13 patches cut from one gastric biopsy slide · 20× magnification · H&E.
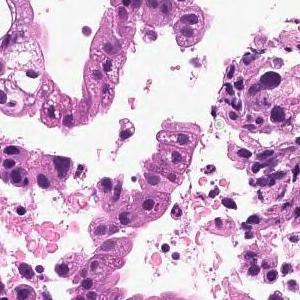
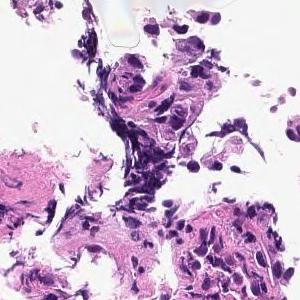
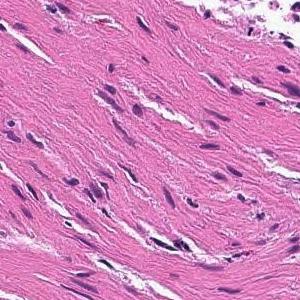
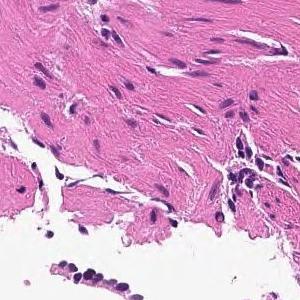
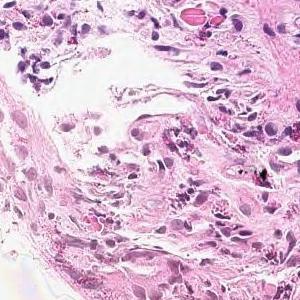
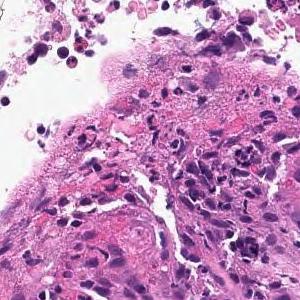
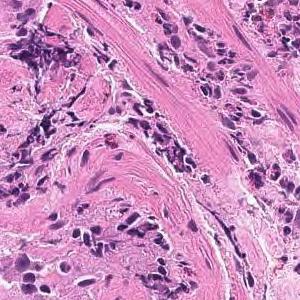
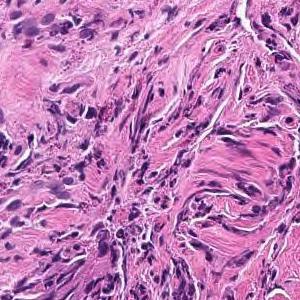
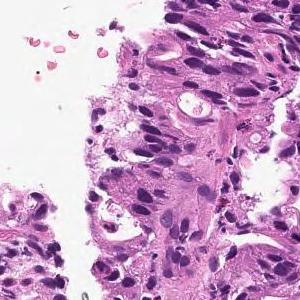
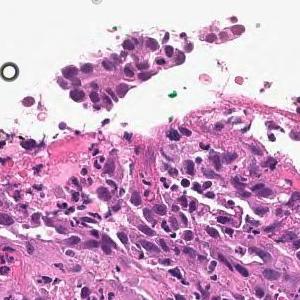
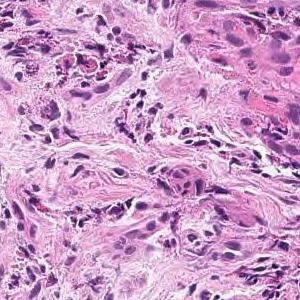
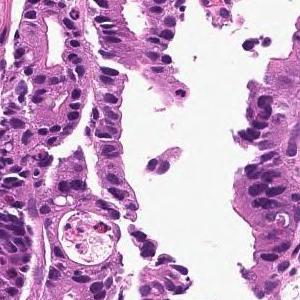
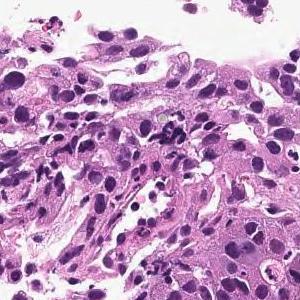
Pathology report for the slide these tiles were cut from. The report and the diagnosis cover the entire slide, so not every feature they name need be visible here, and some tissue shown may not be tumor.
On the superficial epithelium, tumor tissue consisting of large irregular glandular ducts partially fused and infiltrated is observed. Well to moderately differentiated tubular adenocarcinoma (well differentiated tubular adenocarcinoma, moderately differentiated tubular adenocarcinoma)
Tumor subtype: well to moderately differentiated tubular adenocarcinoma.
